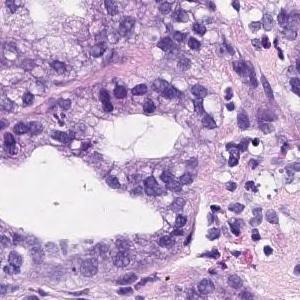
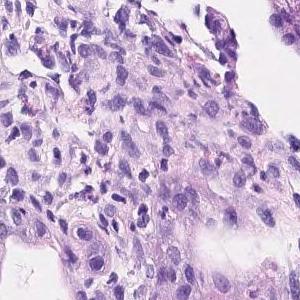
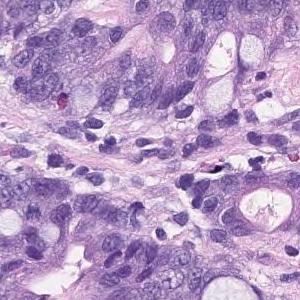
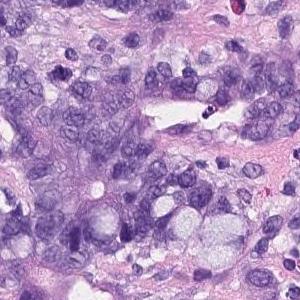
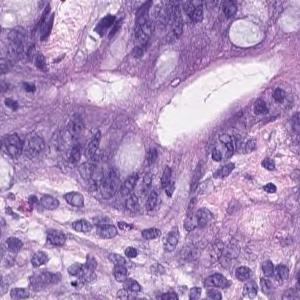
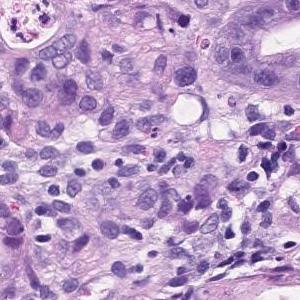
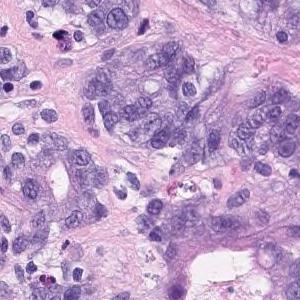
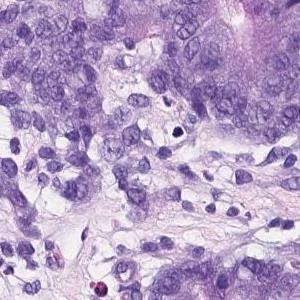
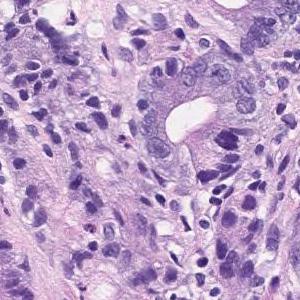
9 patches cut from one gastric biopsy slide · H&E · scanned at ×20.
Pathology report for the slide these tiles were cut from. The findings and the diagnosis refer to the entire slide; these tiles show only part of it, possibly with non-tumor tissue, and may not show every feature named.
Irregularly fused atypical ducts proliferating while replacing existing ducts was observed. moderately differentiated tubular adenocarcinoma
